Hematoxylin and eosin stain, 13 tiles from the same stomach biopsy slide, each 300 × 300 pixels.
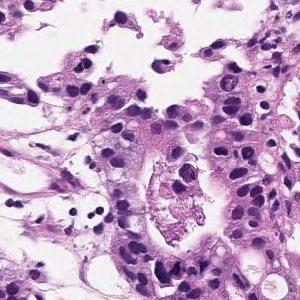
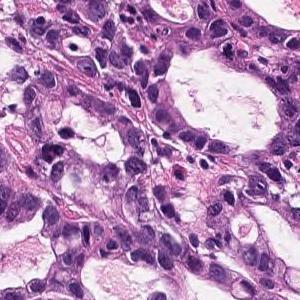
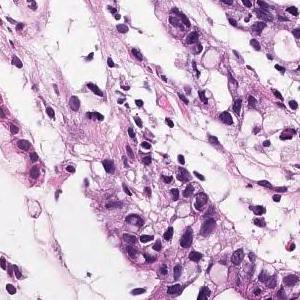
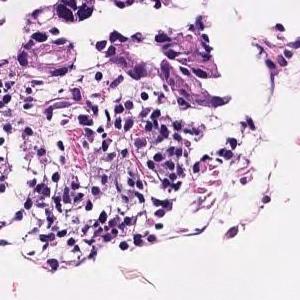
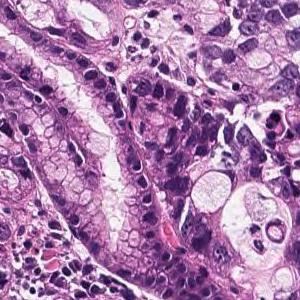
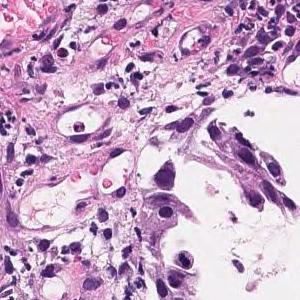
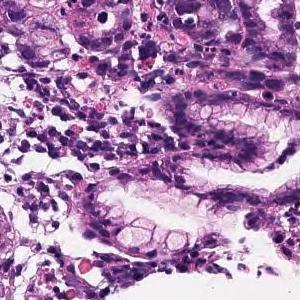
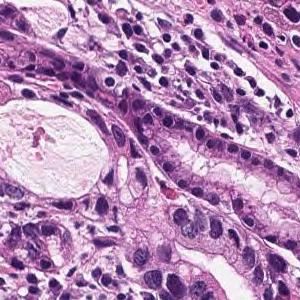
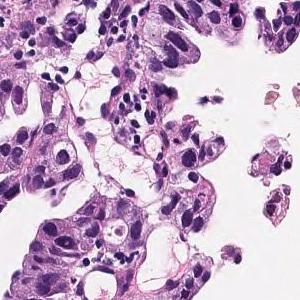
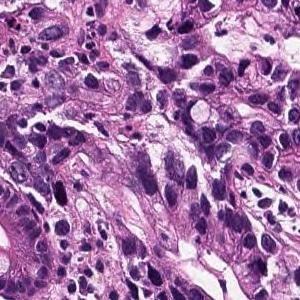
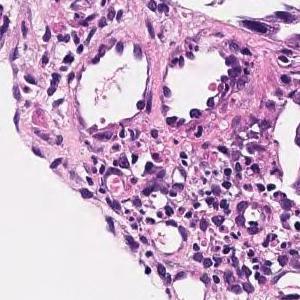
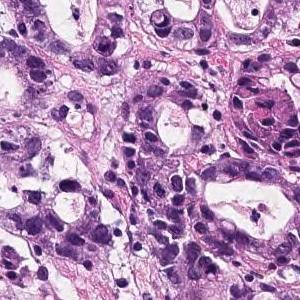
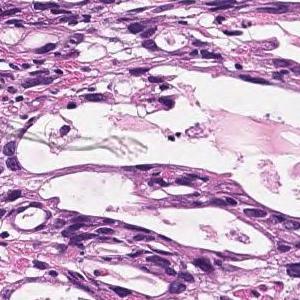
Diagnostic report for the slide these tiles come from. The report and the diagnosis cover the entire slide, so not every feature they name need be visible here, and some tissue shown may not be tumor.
In the superficial epithelium, tumor tissue that invades by forming medium-sized to small, irregular ducts is observed. Moderately differentiated adenocarcinoma.
Histologic type: Moderately differentiated tubular adenocarcinoma.
